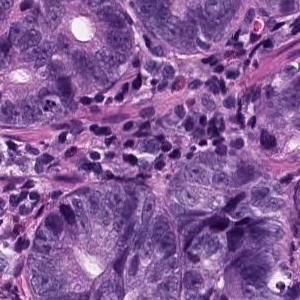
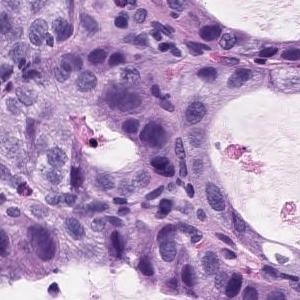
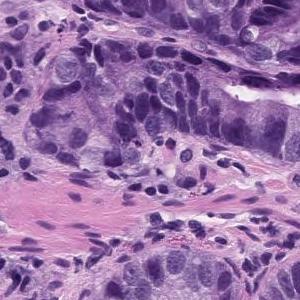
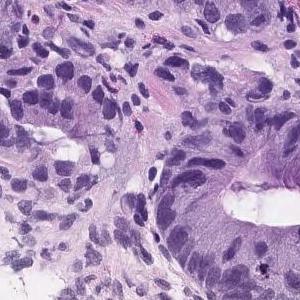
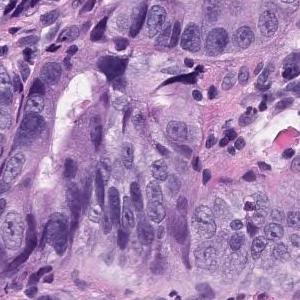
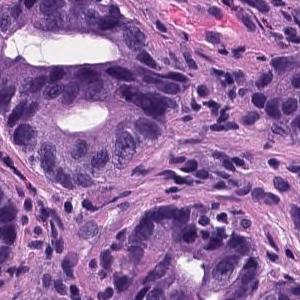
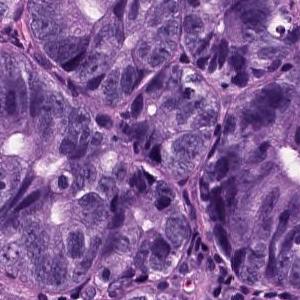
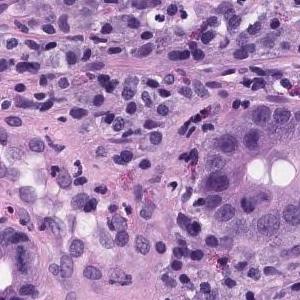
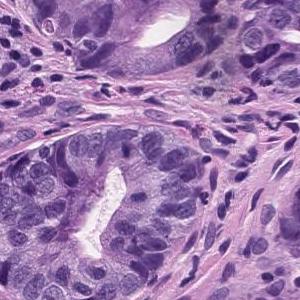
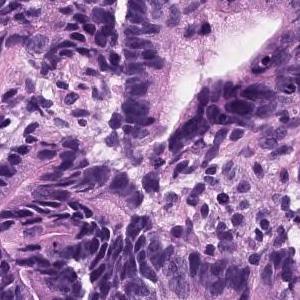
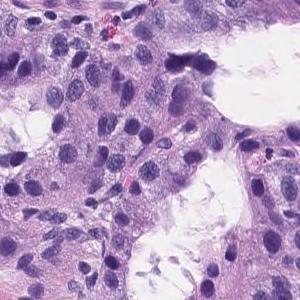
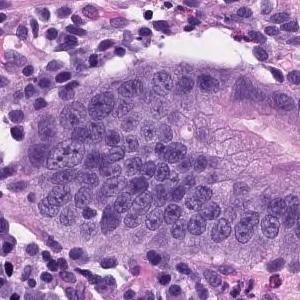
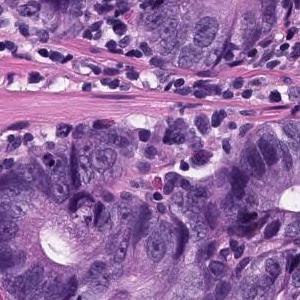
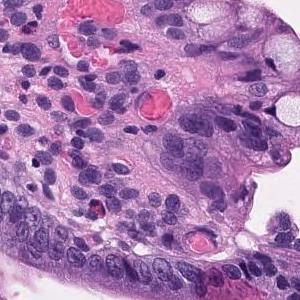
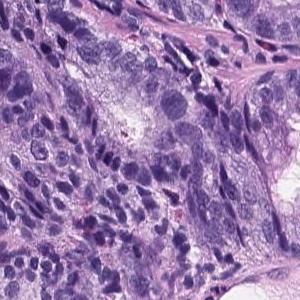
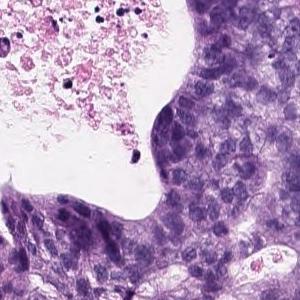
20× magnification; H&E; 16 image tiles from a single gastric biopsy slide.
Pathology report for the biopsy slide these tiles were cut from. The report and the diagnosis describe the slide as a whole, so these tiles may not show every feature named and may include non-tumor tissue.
Tumor tissue consisting of medium-sized and irregular ducts is observed infiltrating in the superficial epithelium. Tumor cells are highly columnar, with nuclei aligned basolaterally and polarized. Well differentiated tubular adenocarcinoma.
